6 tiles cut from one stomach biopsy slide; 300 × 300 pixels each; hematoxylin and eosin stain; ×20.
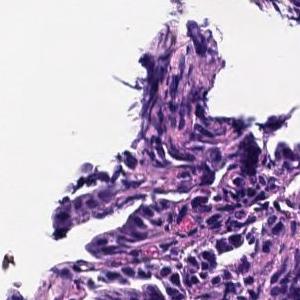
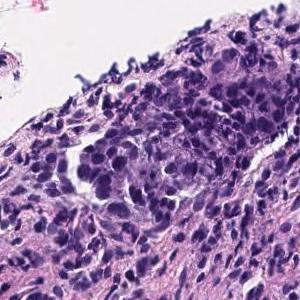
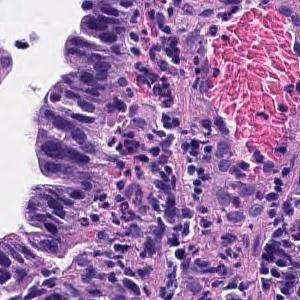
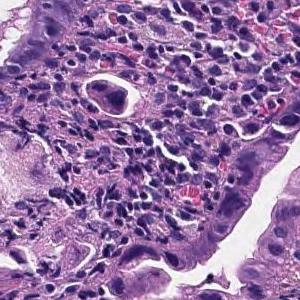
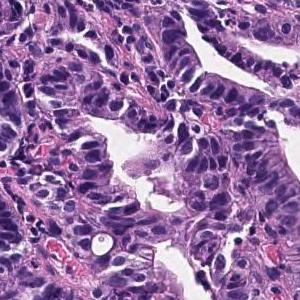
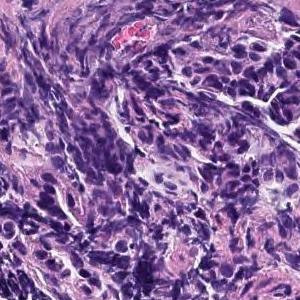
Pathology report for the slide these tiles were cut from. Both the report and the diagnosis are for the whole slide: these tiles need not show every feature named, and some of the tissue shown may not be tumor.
The superficial tumors shows large papillary structures or large and small ducts and infiltrates. Papillary adenocarcinoma.
